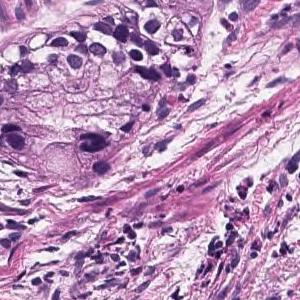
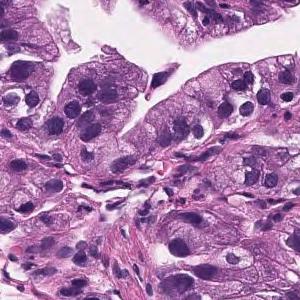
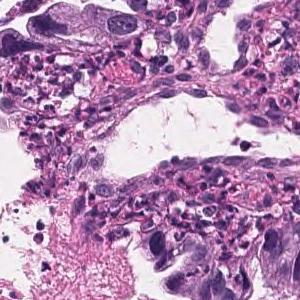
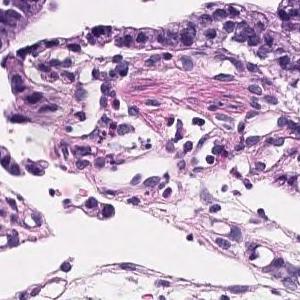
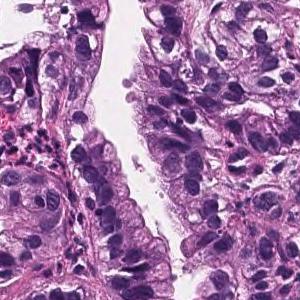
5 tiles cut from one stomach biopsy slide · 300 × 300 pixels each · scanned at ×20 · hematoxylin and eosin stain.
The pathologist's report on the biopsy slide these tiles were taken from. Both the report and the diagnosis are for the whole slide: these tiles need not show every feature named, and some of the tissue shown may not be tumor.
Tumor cells are large, highly columnar, large club-shaped nuclei, and are associated with chromatin aggregation. Papillary adenocarcinoma.
